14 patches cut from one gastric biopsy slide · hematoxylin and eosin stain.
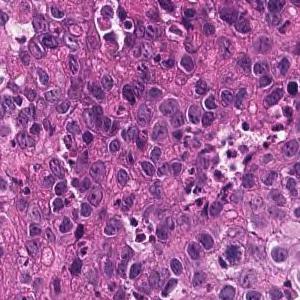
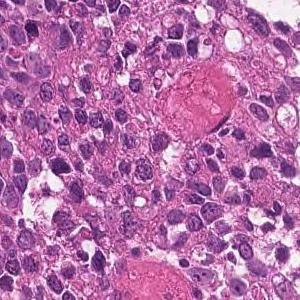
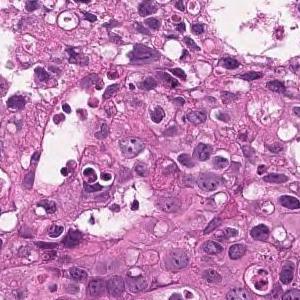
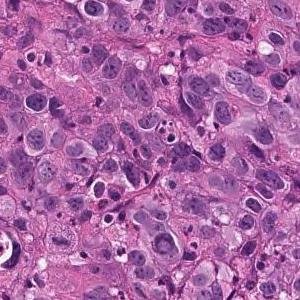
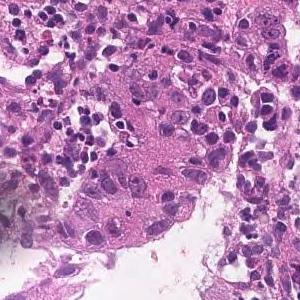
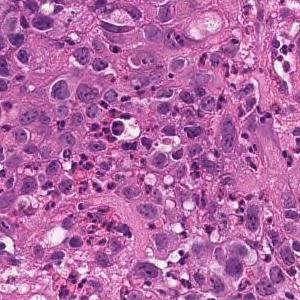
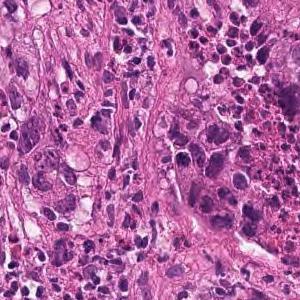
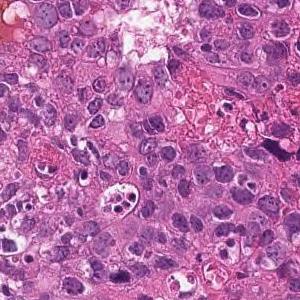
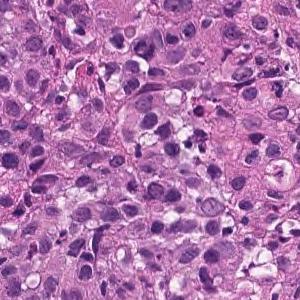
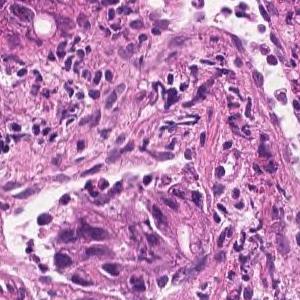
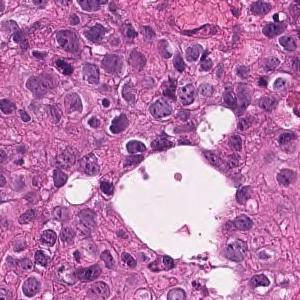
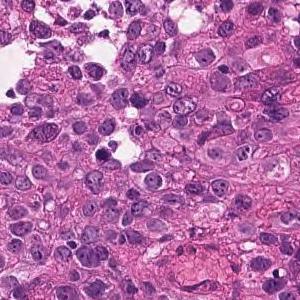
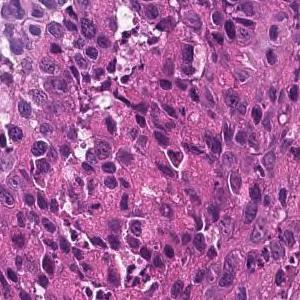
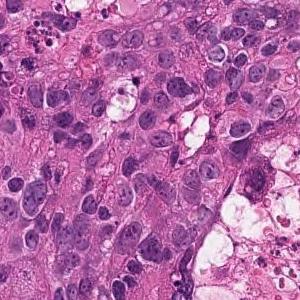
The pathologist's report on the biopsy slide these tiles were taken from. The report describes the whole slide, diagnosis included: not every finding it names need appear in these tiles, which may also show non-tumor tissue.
The superficial epithelium shows a large sheet-like shape, and some tumor tissue infiltrates with small irregular ducts. Poorly differentiated adenocarcinoma, solid-type
Histologic type: Poorly differentiated adenocarcinoma, solid type, a category of the Japanese Classification of Gastric Carcinoma; in the WHO 2019 classification it is tubular adenocarcinoma, poorly differentiated.
